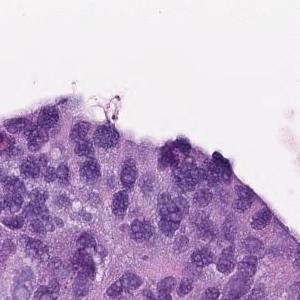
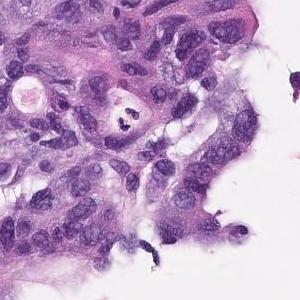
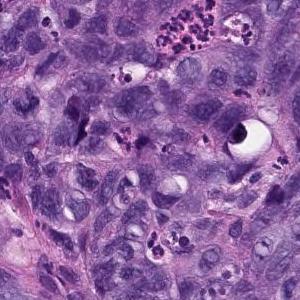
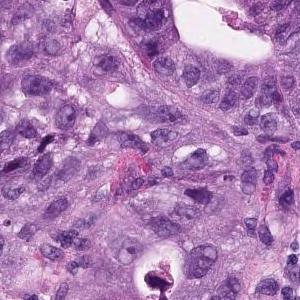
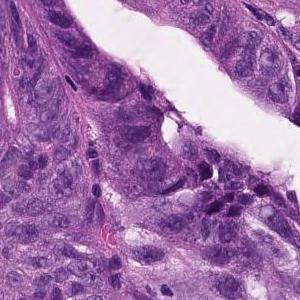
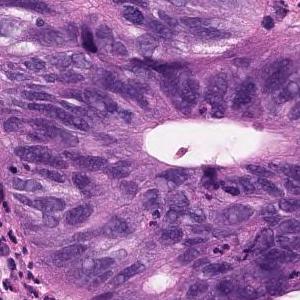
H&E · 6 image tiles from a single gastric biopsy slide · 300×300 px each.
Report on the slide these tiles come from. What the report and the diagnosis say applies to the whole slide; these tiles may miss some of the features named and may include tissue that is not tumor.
In the superficial epithelium, tumor tissue that invades by forming medium-sized to small, irregular ducts is observed. Moderately differentiated adenocarcinoma.
Histological subtype: Moderately differentiated tubular adenocarcinoma.
